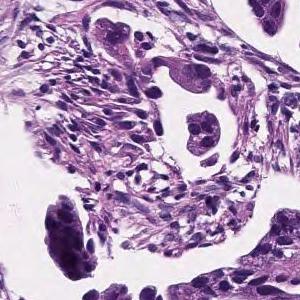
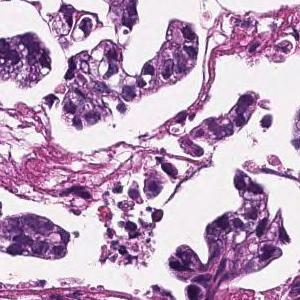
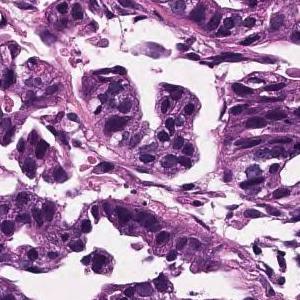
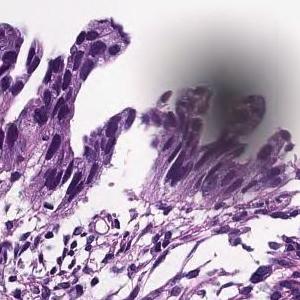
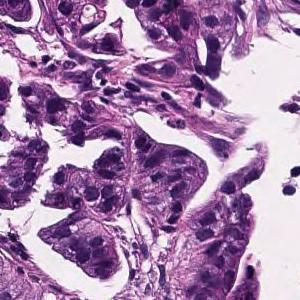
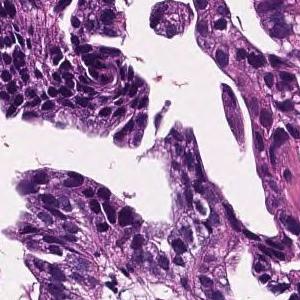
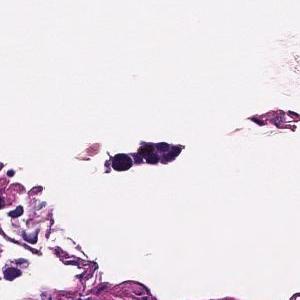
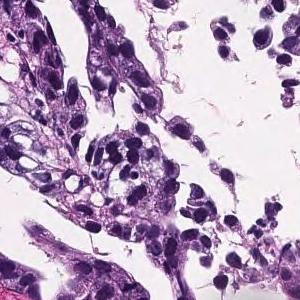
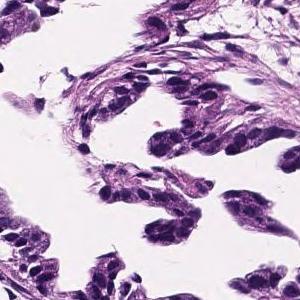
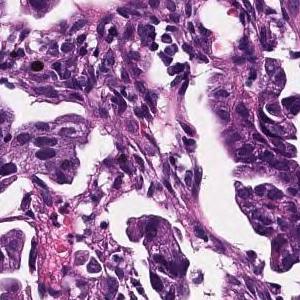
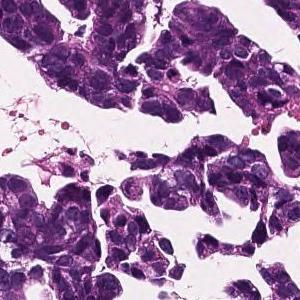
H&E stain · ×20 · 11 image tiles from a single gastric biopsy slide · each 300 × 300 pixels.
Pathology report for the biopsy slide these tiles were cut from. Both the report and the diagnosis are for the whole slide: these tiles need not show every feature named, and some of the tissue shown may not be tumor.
In the lamina propria, tumor tissue that invades by forming medium-sized to small, irregular glandular ducts is observed. moderately differentiated tubular adenocarcinoma
